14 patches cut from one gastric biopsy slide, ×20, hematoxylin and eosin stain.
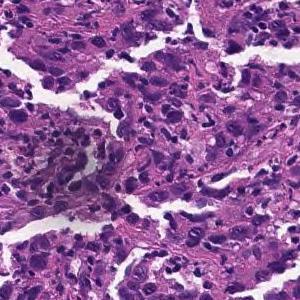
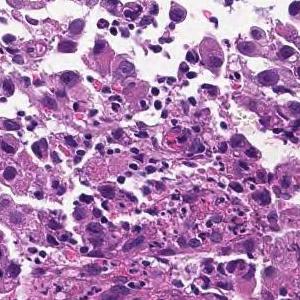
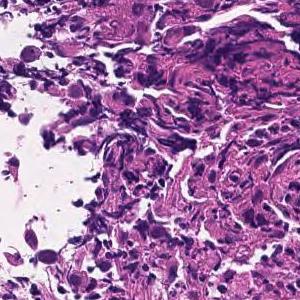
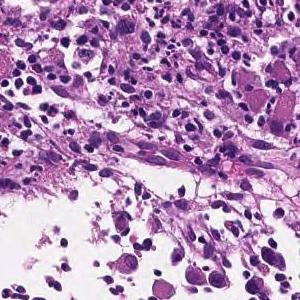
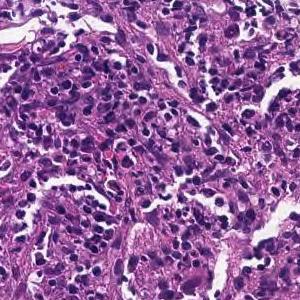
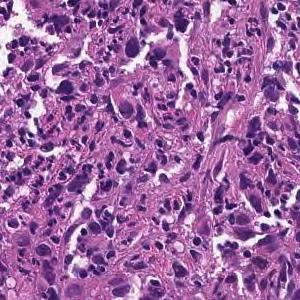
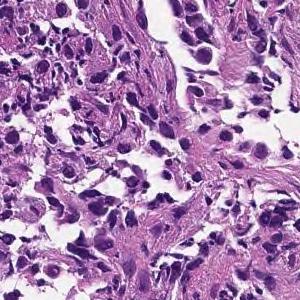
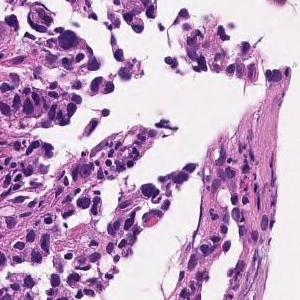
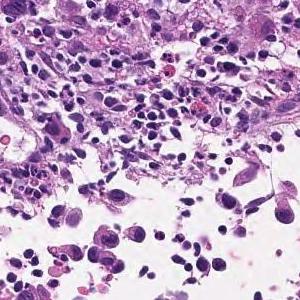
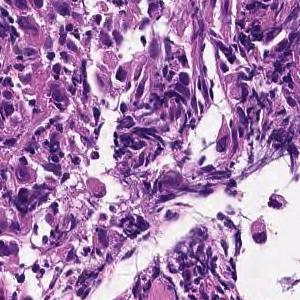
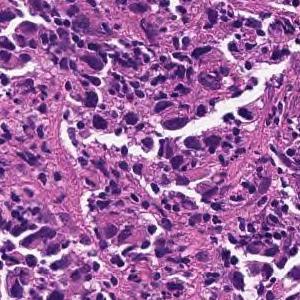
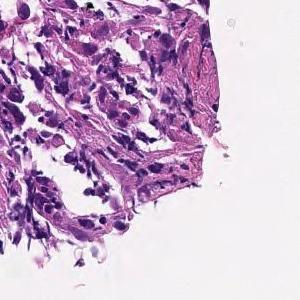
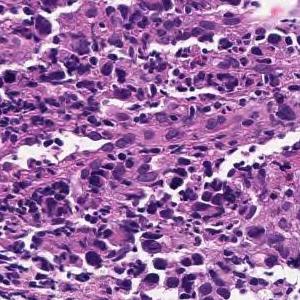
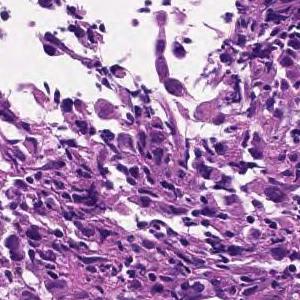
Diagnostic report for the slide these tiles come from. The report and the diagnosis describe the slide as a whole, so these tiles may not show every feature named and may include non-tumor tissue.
The superficial epithelium shows a large sheet-like shape, and some tumor tissue infiltrates with small irregular ducts. Poorly differentiated adenocarcinoma, solid-type (poorly differentiated adenocarcinoma, solid type)
Histologic type: Poorly differentiated adenocarcinoma, solid type, a category of the Japanese Classification of Gastric Carcinoma; in the WHO 2019 classification it is tubular adenocarcinoma, poorly differentiated.
